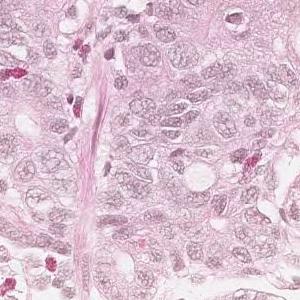
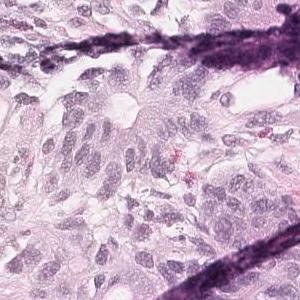
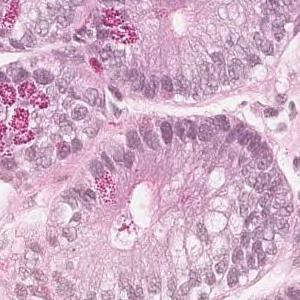
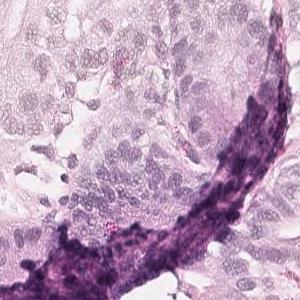
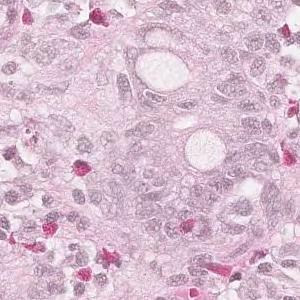
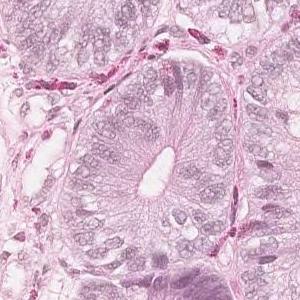
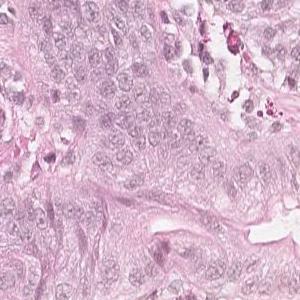
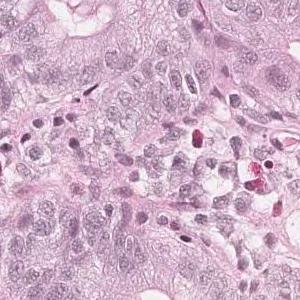
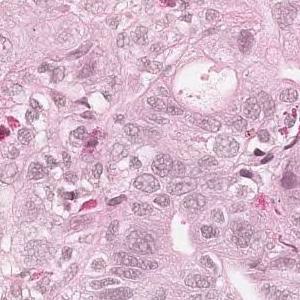
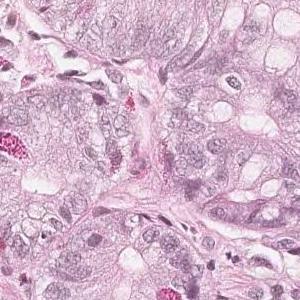
10 image tiles from a single gastric biopsy slide, 300 × 300 pixels each, hematoxylin and eosin stain, 20× magnification.
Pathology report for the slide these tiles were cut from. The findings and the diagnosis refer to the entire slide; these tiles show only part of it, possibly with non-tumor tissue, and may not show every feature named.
Medium to small, irregular glandular ducts are formed in the superficial epithelium, and in some cases, the glandular ducts are fused to show solid alveolar lesions and infiltrating tumor tissue is observed. Moderately to poorly differentiated adenocarcinoma.
